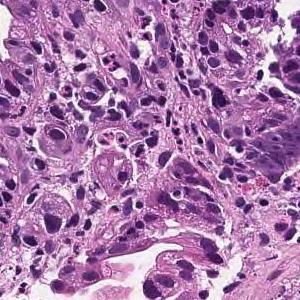
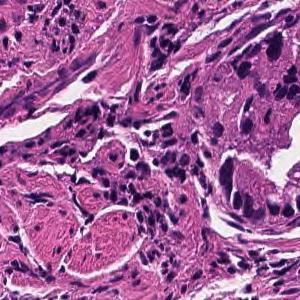
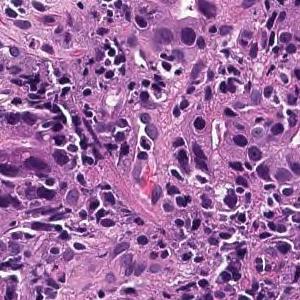
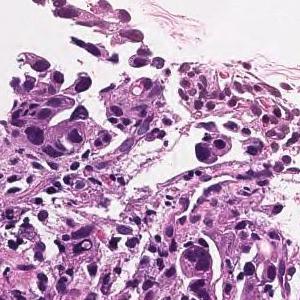
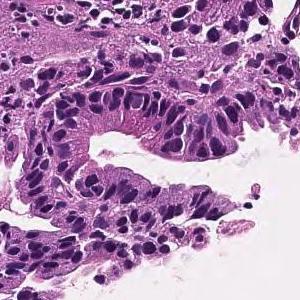
5 tiles from the same stomach biopsy slide, each 300 × 300 pixels.
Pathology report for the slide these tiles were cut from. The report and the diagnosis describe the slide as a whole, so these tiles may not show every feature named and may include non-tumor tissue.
On the superficial epithelium, tumor tissue is found in which medium-sized irregular gland ducts fuse with each other and infiltrate. moderately differentiated tubular adenocarcinoma or Poorly differentiated adenocarcinoma, non-solid type
Tumor subtype: moderately to poorly differentiated adenocarcinoma.
The term "non-solid type" comes from the Japanese Classification of Gastric Carcinoma.
